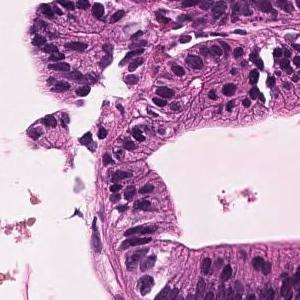
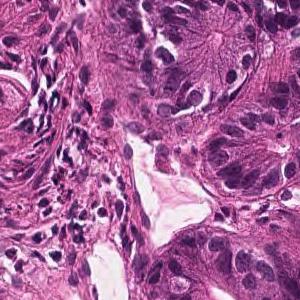
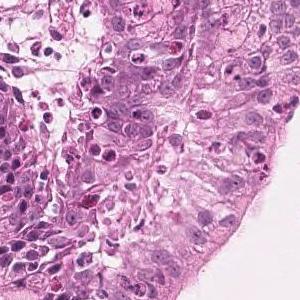
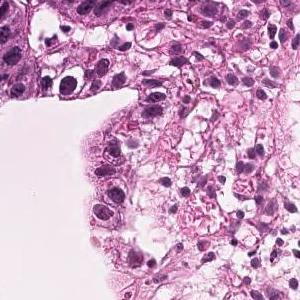
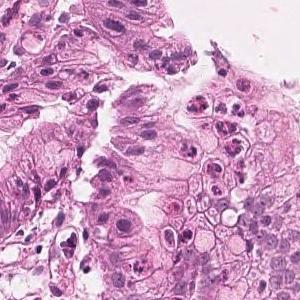
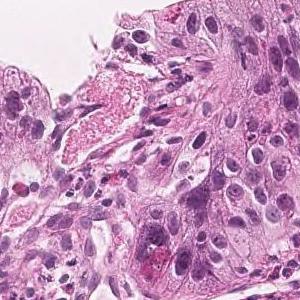
H&E stain · 20× magnification · 6 patches cut from one gastric biopsy slide · 300×300 px each.
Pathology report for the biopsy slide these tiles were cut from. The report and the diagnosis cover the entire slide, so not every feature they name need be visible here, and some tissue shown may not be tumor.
Tumor tissue consisting of medium-sized and irregular ducts is observed infiltrating in the superficial epithelium. Tumor cells are highly columnar, with nuclei aligned basolaterally and polarized. Well differentiated tubular adenocarcinoma.
